10 patches cut from one gastric biopsy slide, 300 × 300 pixels each, 20× magnification.
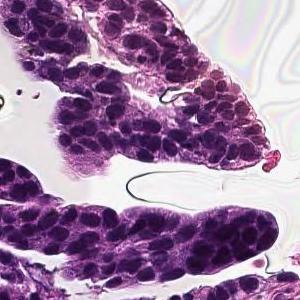
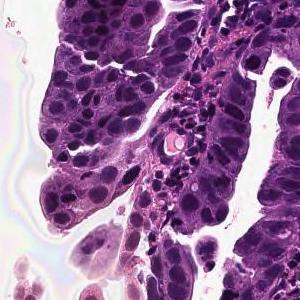
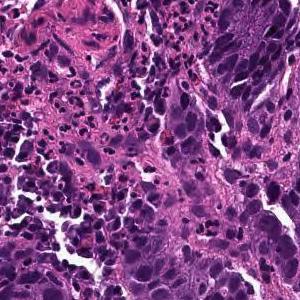
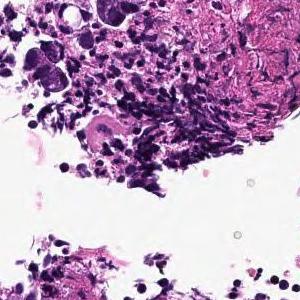
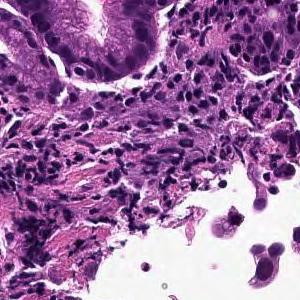
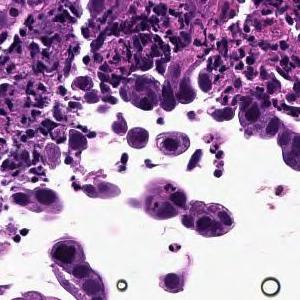
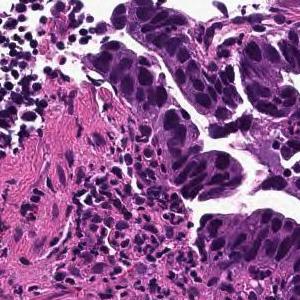
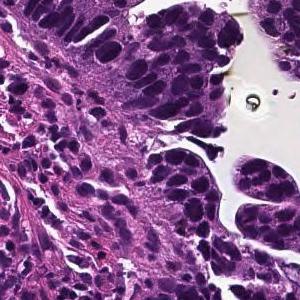
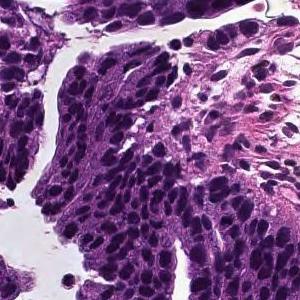
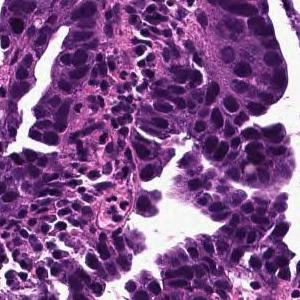
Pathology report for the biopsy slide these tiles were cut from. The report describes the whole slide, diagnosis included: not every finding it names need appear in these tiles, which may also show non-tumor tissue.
Tumor cells are large, highly columnar, large club-shaped nuclei, and are associated with chromatin aggregation. Papillary adenocarcinoma.
